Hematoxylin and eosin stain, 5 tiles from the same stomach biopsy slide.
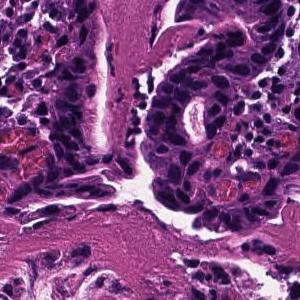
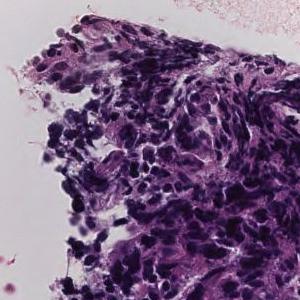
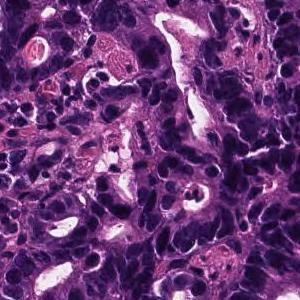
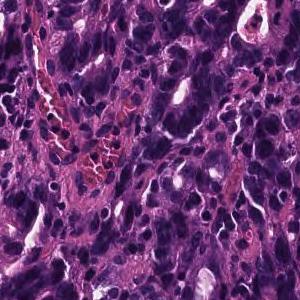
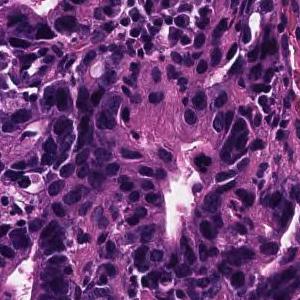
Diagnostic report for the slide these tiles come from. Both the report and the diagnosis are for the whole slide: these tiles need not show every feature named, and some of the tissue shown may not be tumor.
On the superficial epithelium, tumor tissue consisting of large, irregular glandular ducts partially fused and infiltrated is observed. Well to moderately differentiated tubular adenocarcinoma (well differentiated tubular adenocarcinoma, moderately differentiated tubular adenocarcinoma)
Histological subtype: Well to moderately differentiated tubular adenocarcinoma.
